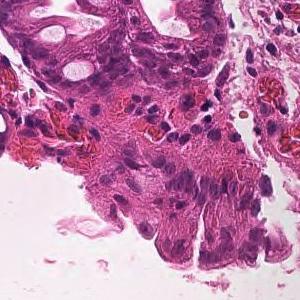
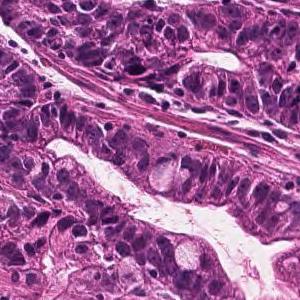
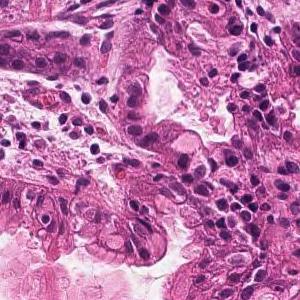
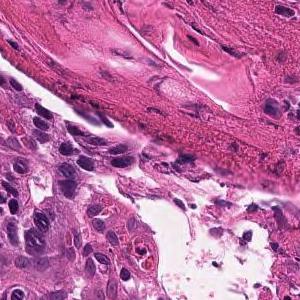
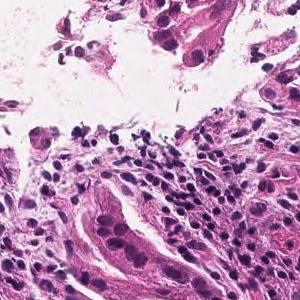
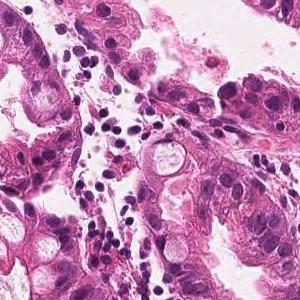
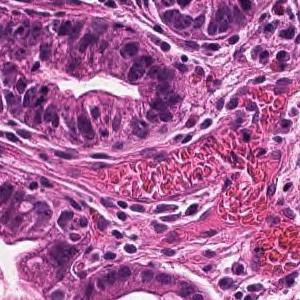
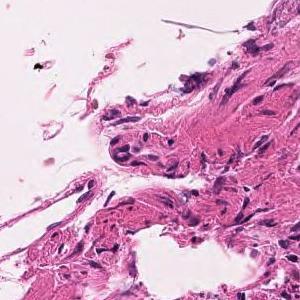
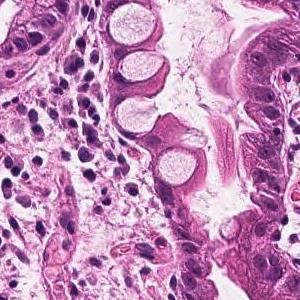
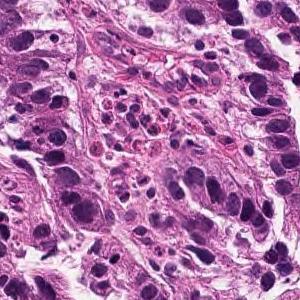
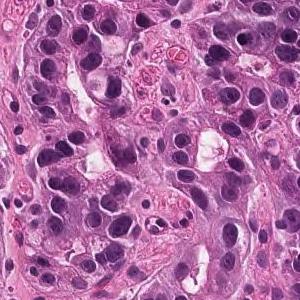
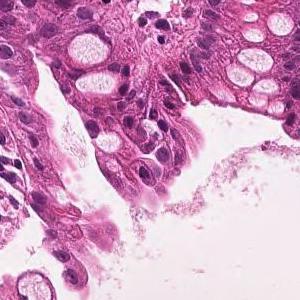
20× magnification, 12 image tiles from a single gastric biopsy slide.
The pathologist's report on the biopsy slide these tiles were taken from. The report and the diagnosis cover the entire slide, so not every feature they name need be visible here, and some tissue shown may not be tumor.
Tumor tissue consisting of medium-sized, cord-like or irregular glandular infiltration is observed in the superficial epithelium. Poorly differentiated adenocarcinoma, non-solid type or moderately differentiated tubular adenocarcinoma
Histological subtype: Moderately to poorly differentiated adenocarcinoma.
The term "non-solid type" comes from the Japanese Classification of Gastric Carcinoma.
